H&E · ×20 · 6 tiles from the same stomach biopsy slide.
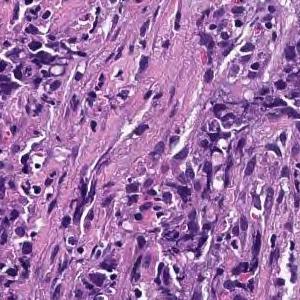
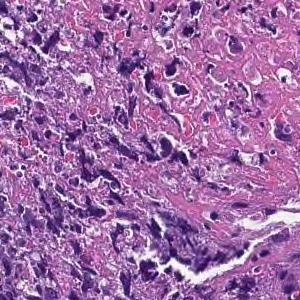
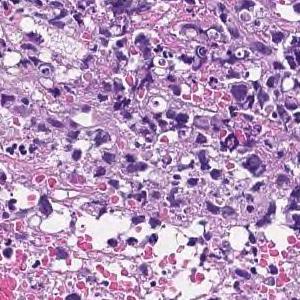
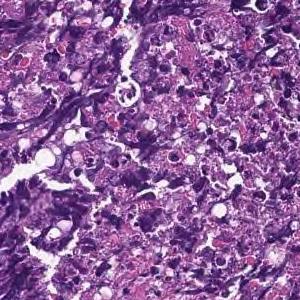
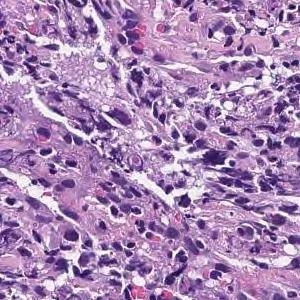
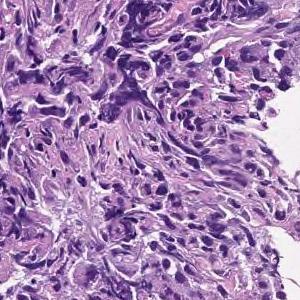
The pathologist's report on the biopsy slide these tiles were taken from. The report describes the whole slide, diagnosis included: not every finding it names need appear in these tiles, which may also show non-tumor tissue.
Most are composed of coagulative necrotic tissue, but some show a large sheet-like shape, and some show tumor tissue infiltrating with a small cord-like structure. Poorly differentiated adenocarcinoma, solid-type
Tumor subtype: poorly differentiated adenocarcinoma, solid type. This name comes from the Japanese Classification of Gastric Carcinoma; the WHO 2019 classification calls it tubular adenocarcinoma, poorly differentiated.
